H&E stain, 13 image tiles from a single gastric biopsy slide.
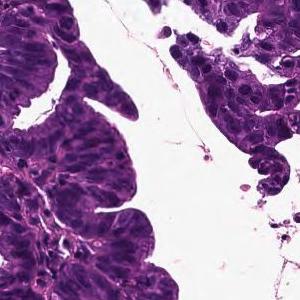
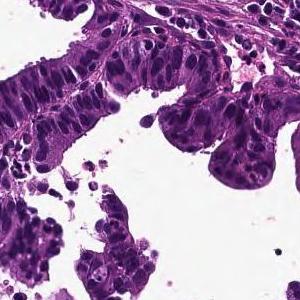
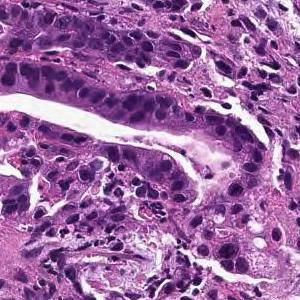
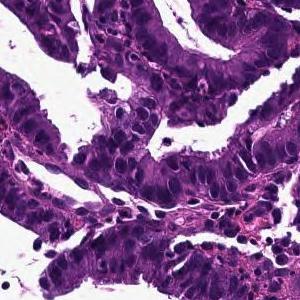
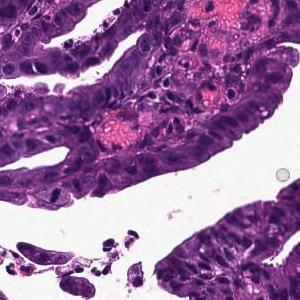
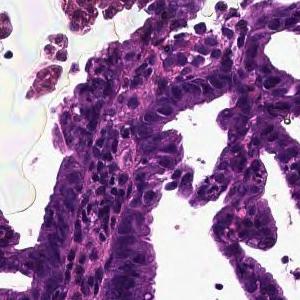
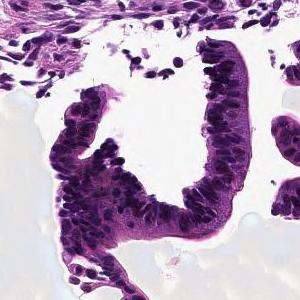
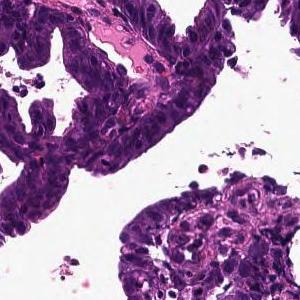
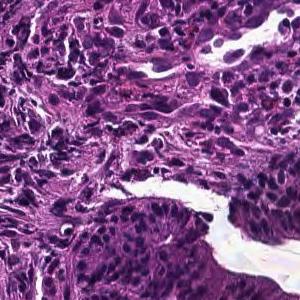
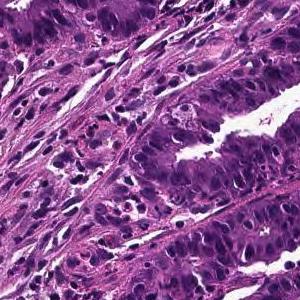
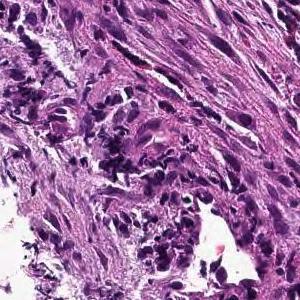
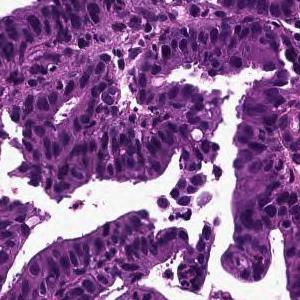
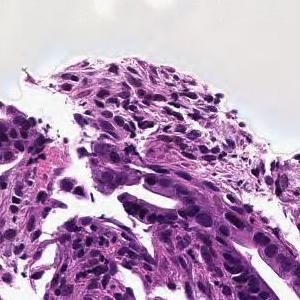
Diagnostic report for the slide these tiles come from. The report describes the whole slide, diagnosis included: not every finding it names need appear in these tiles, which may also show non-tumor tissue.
Tumor cells are large, highly columnar, large club-shaped nuclei, and are associated with chromatin aggregation. Papillary adenocarcinoma.
